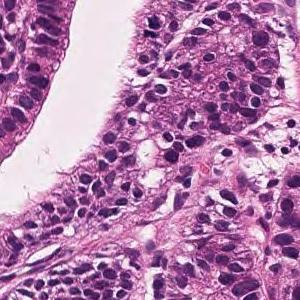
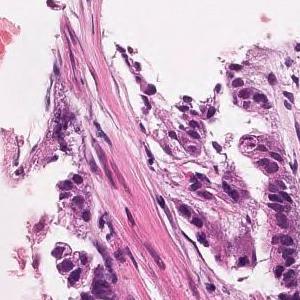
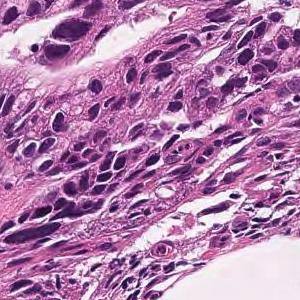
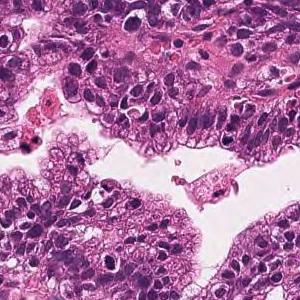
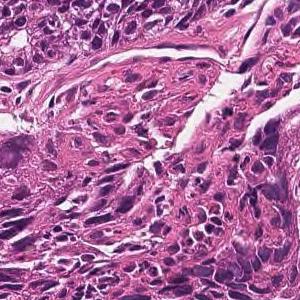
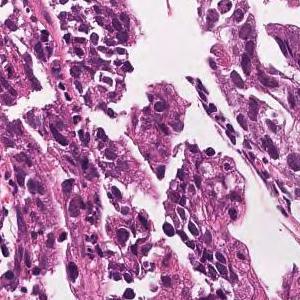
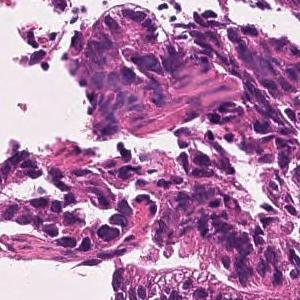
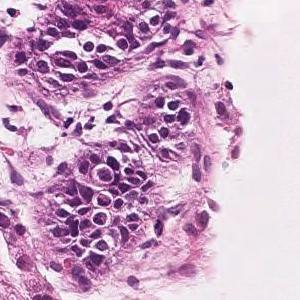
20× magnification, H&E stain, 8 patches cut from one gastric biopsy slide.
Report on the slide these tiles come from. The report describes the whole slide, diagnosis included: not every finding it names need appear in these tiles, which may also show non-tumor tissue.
On the superficial epithelium, tumor tissue consisting of large, irregular glandular ducts partially fused and infiltrated is observed. Well to moderately differentiated tubular adenocarcinoma (well differentiated tubular adenocarcinoma, moderately differentiated tubular adenocarcinoma)
Tumor subtype: well to moderately differentiated tubular adenocarcinoma.
